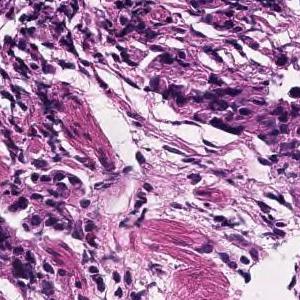
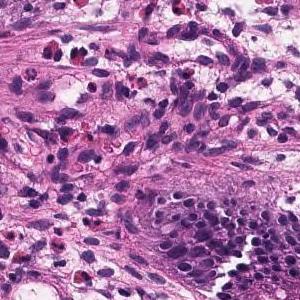
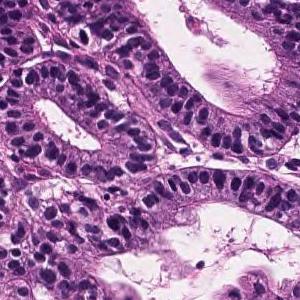
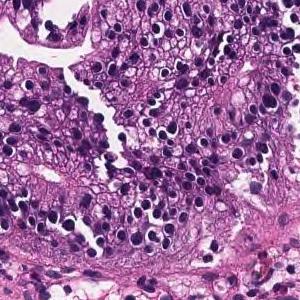
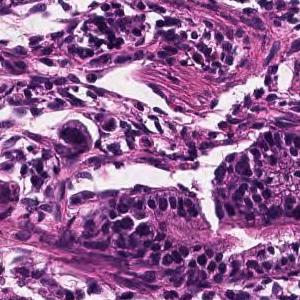
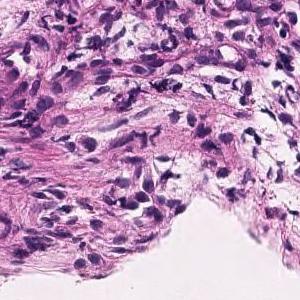
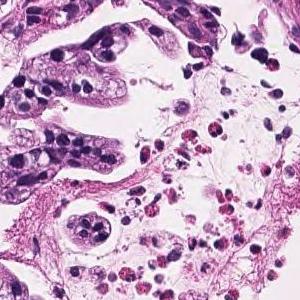
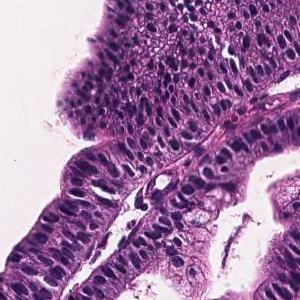
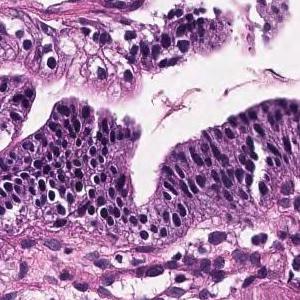
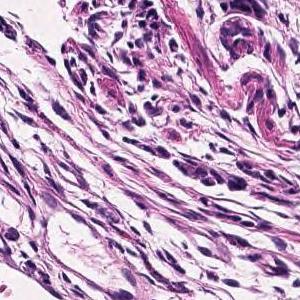
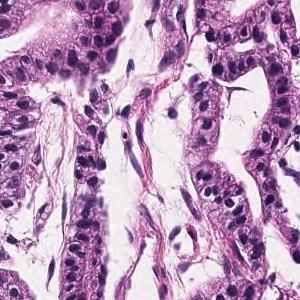
11 patches cut from one gastric biopsy slide; 300×300 px each.
Report on the slide these tiles come from. The report and the diagnosis describe the slide as a whole, so these tiles may not show every feature named and may include non-tumor tissue.
Tumor tissue consisting of large papillary structures or irregular glandular ducts partially fused and infiltrated is observed in the superficial epithelium. Well to moderately differentiated tubular adenocarcinoma.
Labeled in the dataset as moderately differentiated tubular adenocarcinoma.
